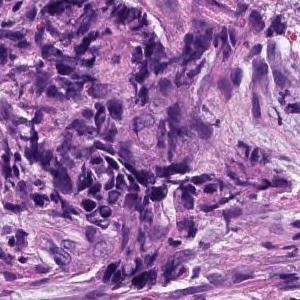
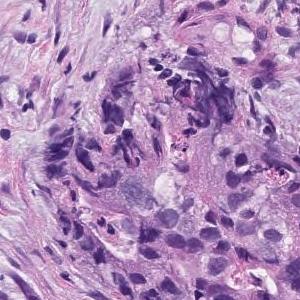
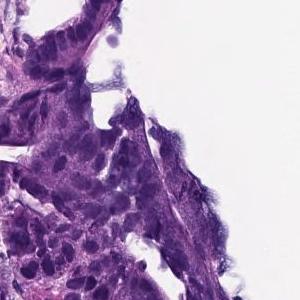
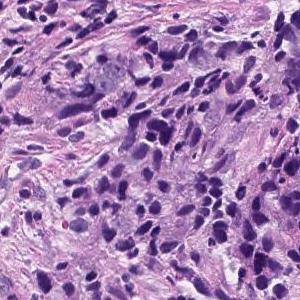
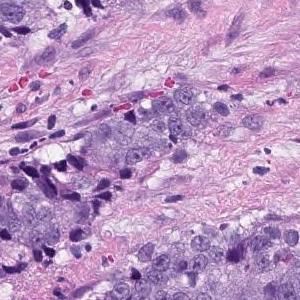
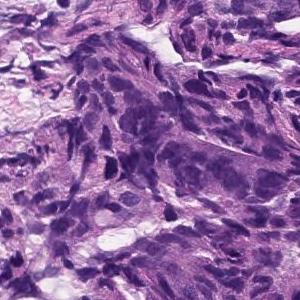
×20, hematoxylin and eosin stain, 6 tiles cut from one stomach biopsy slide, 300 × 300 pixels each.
Pathology report for the biopsy slide these tiles were cut from. The findings and the diagnosis refer to the entire slide; these tiles show only part of it, possibly with non-tumor tissue, and may not show every feature named.
Medium to small, irregular glandular ducts are formed in the superficial epithelium, and in some cases, the glandular ducts are fused to show solid alveolar lesions and infiltrating tumor tissue is observed. Moderately to poorly differentiated adenocarcinoma.
